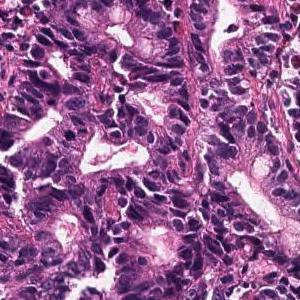
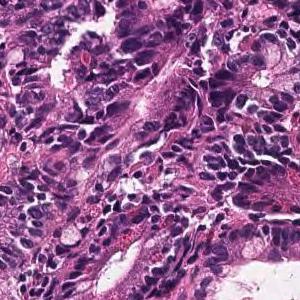
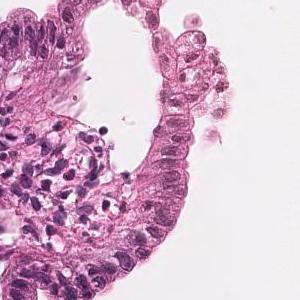
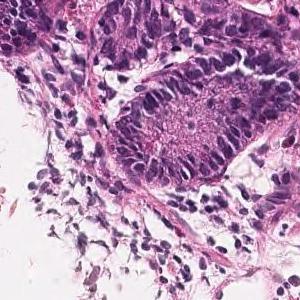
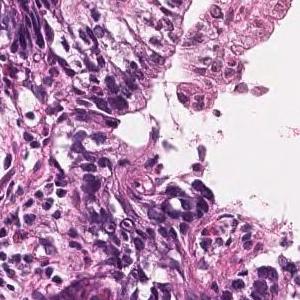
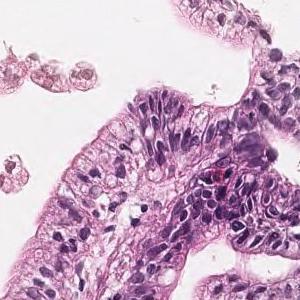
6 tiles from the same stomach biopsy slide, each 300 × 300 pixels, hematoxylin and eosin stain, 20× magnification.
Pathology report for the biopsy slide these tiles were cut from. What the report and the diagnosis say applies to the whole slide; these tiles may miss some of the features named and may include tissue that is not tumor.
On the superficial epithelium, tumor tissue consisting of large, irregular glandular ducts partially fused and infiltrated is observed. Well to moderately differentiated tubular adenocarcinoma (well differentiated tubular adenocarcinoma, moderately differentiated tubular adenocarcinoma)
Classified as well to moderately differentiated tubular adenocarcinoma.
